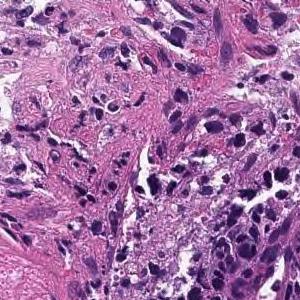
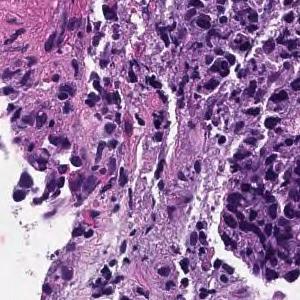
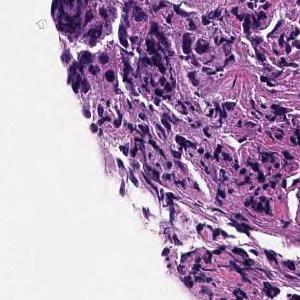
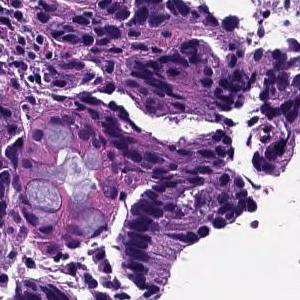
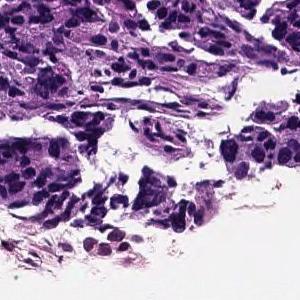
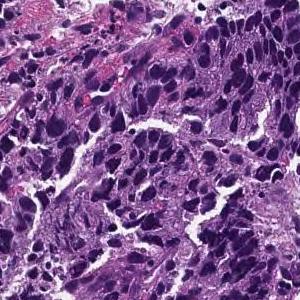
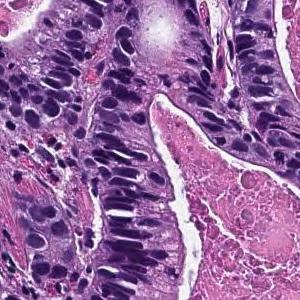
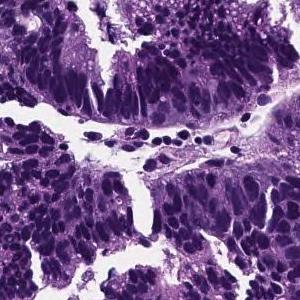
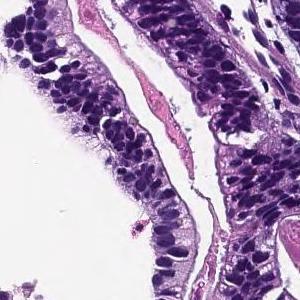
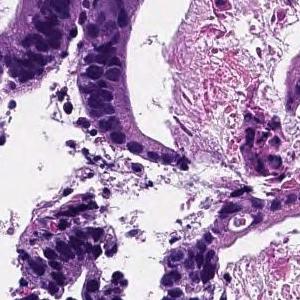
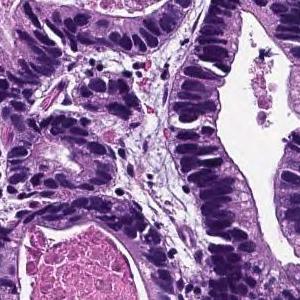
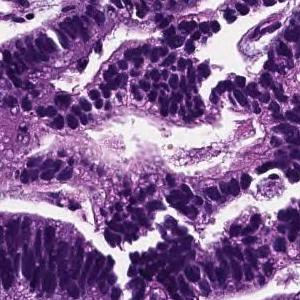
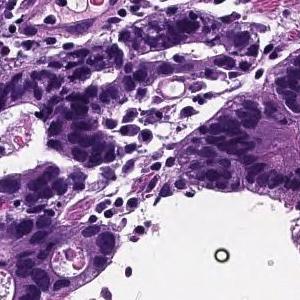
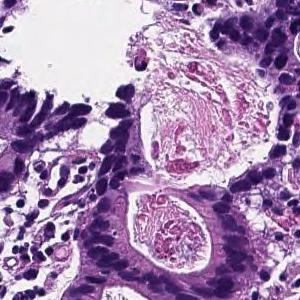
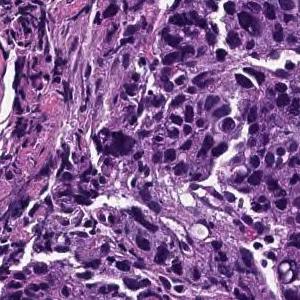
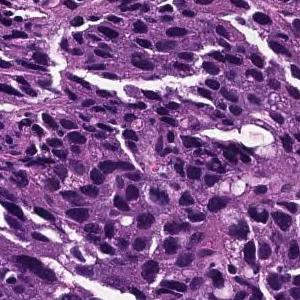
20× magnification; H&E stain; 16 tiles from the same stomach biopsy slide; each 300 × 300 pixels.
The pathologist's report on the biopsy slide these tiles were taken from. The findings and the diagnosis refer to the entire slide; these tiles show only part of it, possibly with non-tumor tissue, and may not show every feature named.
From the superficial epithelium to the muscularis mucosae, tumor tissue consisting of medium-sized and irregular glandular ducts infiltrating is observed. Well differentiated tubular adenocarcinoma
